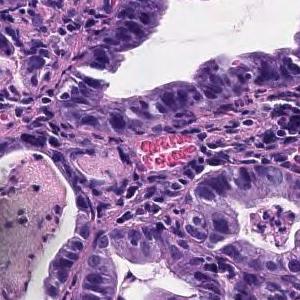
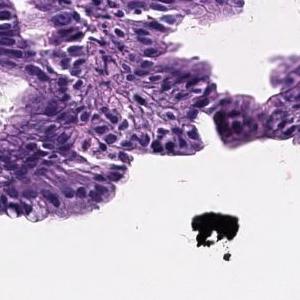
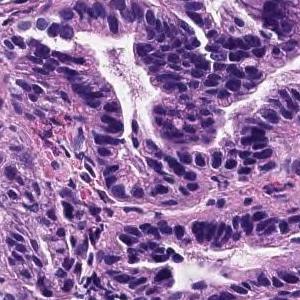
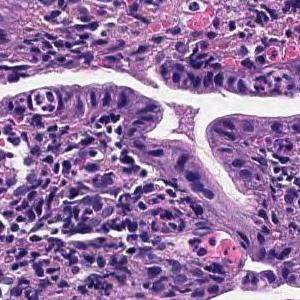
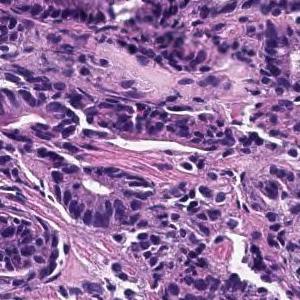
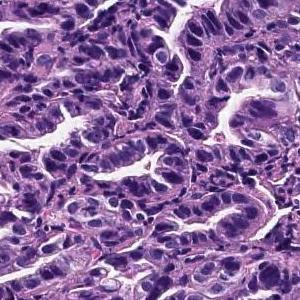
6 patches cut from one gastric biopsy slide · scanned at ×20.
The pathologist's report on the biopsy slide these tiles were taken from. Both the report and the diagnosis are for the whole slide: these tiles need not show every feature named, and some of the tissue shown may not be tumor.
The superficial tumors shows large papillary structures or large and small ducts and infiltrates. Papillary adenocarcinoma.
